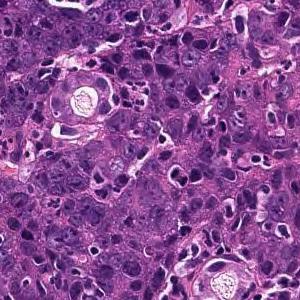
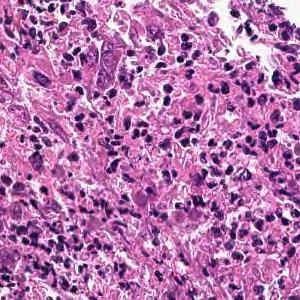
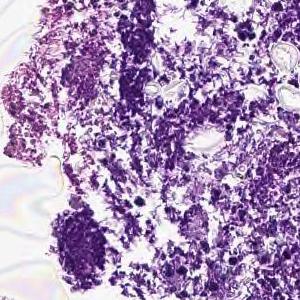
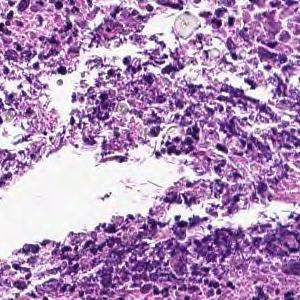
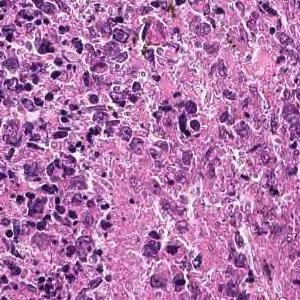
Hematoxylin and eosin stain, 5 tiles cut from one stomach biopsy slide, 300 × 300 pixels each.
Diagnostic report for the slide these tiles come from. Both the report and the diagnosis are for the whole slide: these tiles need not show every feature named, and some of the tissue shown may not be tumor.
Cancers with polygonal nuclei do not show glandular formation and are densely, in part, cord-like and proliferate. Poorly differentiated adenocarcinoma
Histologic type: Poorly differentiated adenocarcinoma, non-solid type.
"Non-solid type" is a category of the Japanese Classification of Gastric Carcinoma.
